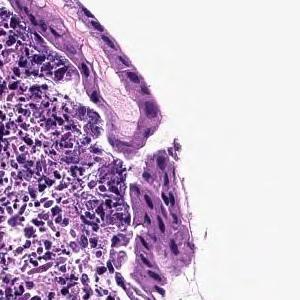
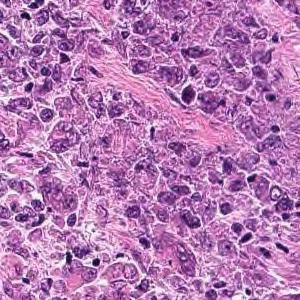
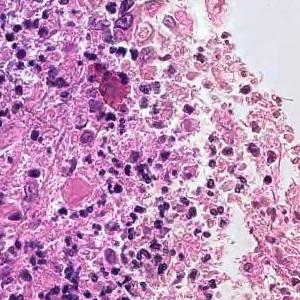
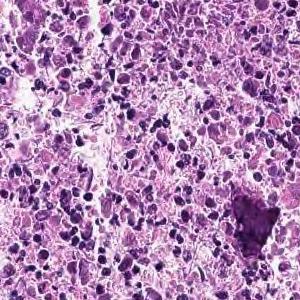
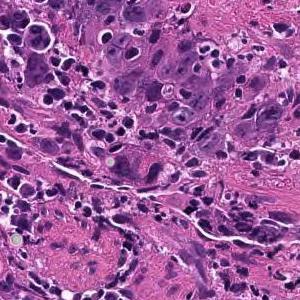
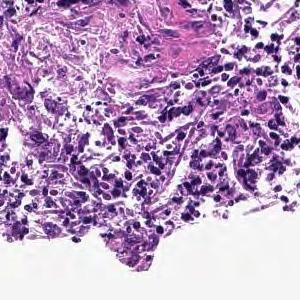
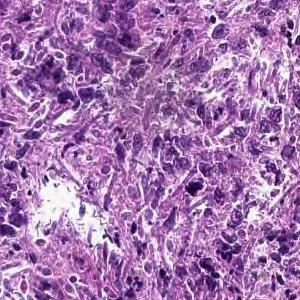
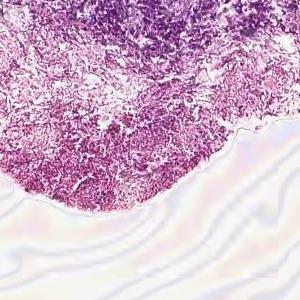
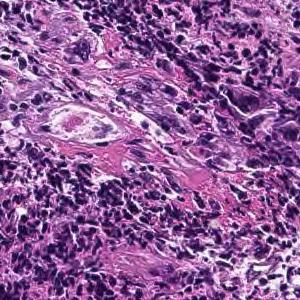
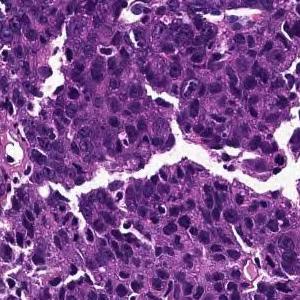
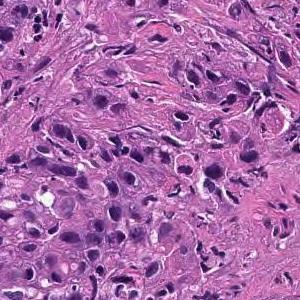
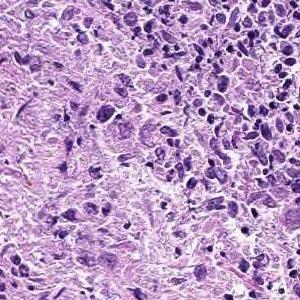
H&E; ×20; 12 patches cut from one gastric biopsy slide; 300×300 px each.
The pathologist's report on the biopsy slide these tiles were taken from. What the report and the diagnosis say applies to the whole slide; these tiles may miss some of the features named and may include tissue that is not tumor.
Cancers with polygonal nuclei do not show glandular formation and are densely, in part, cord-like and proliferate. Poorly differentiated adenocarcinoma
Histologic type: Poorly differentiated adenocarcinoma, non-solid type.
The term "non-solid type" comes from the Japanese Classification of Gastric Carcinoma.
